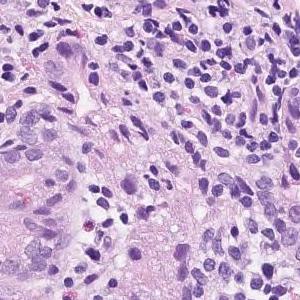
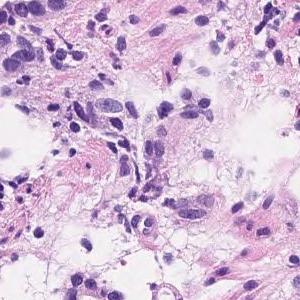
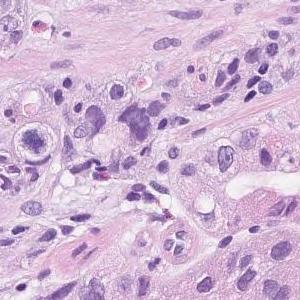
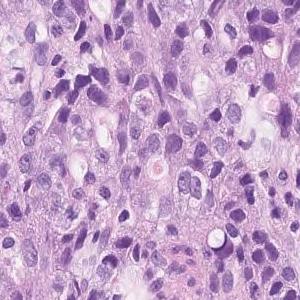
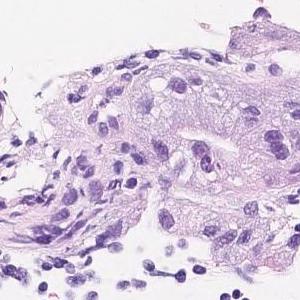
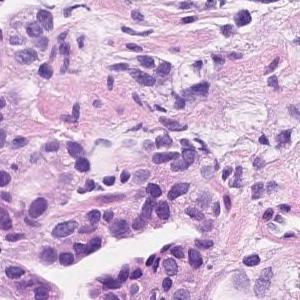
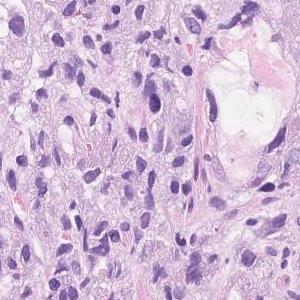
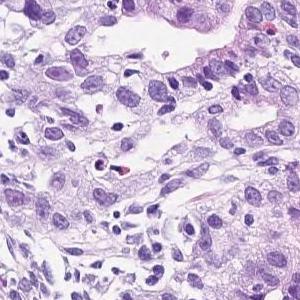
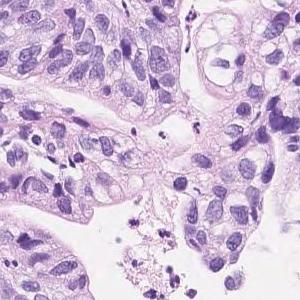
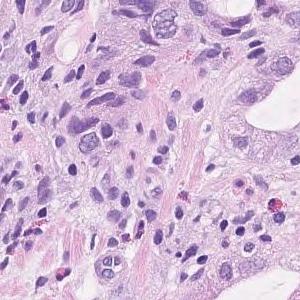
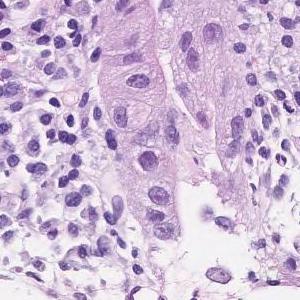
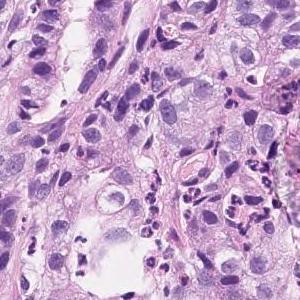
12 tiles from the same stomach biopsy slide, 20× magnification, H&E stain.
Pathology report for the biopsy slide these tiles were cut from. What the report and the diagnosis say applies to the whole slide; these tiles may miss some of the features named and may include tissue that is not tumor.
In the superficial epithelium, tumor tissue that invades by forming medium-sized to small, irregular ducts is observed. Moderately to poorly differentiated adenocarcinoma
